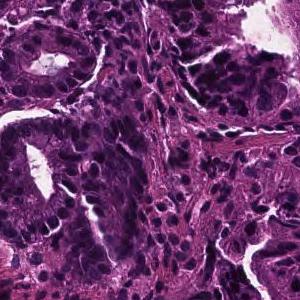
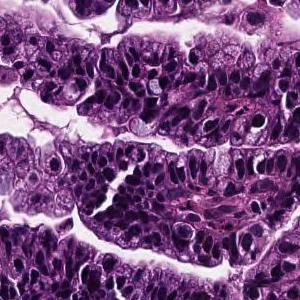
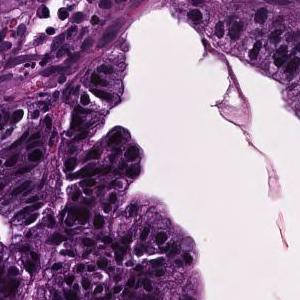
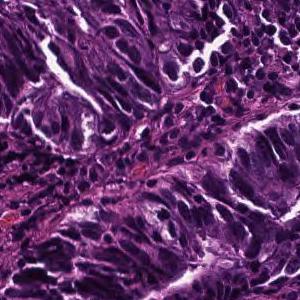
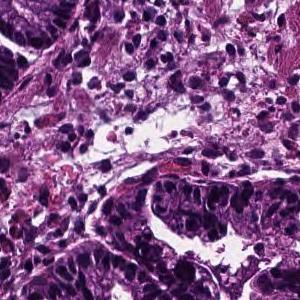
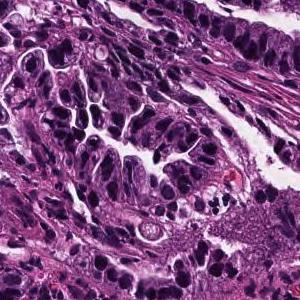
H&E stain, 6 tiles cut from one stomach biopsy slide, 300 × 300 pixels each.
The pathologist's report on the biopsy slide these tiles were taken from. Both the report and the diagnosis are for the whole slide: these tiles need not show every feature named, and some of the tissue shown may not be tumor.
In the superficial epithelium, tumor tissue that invades by forming medium-sized to small, irregular ducts is observed. Well differentiated tubular adenocarcinoma.
